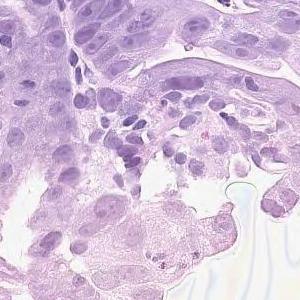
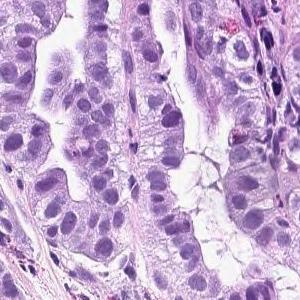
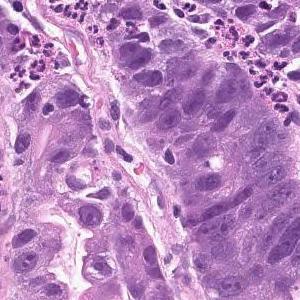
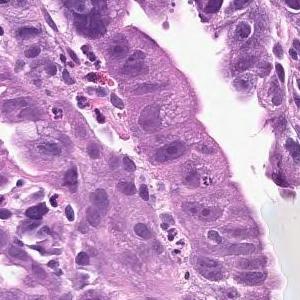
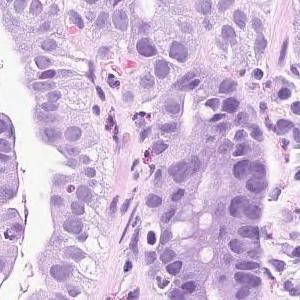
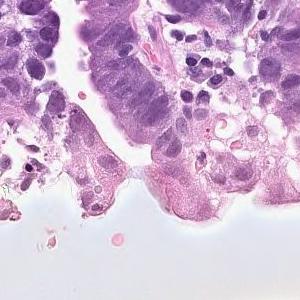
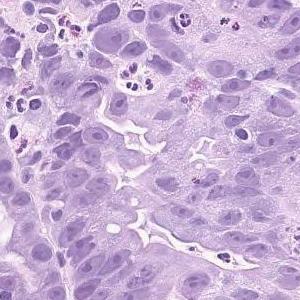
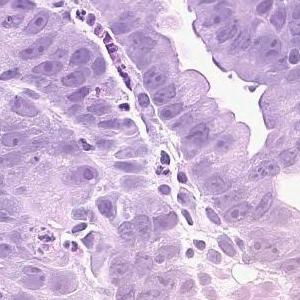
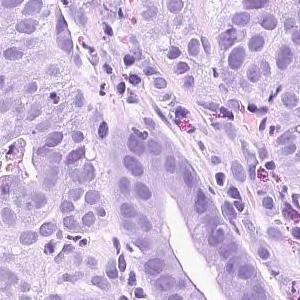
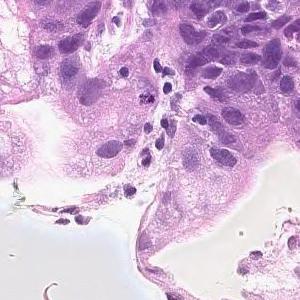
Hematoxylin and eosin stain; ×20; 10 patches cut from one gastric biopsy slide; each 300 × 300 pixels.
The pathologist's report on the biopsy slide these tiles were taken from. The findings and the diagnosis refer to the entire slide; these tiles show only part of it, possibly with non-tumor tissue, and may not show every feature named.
Infiltrating tumor tissue is observed in the superficial epithelium, showing large papillary structures or large and small ducts. Papillary adenocarcinoma
